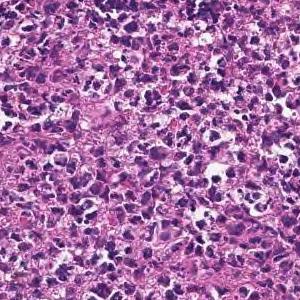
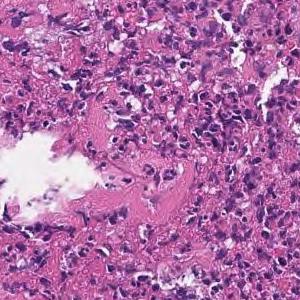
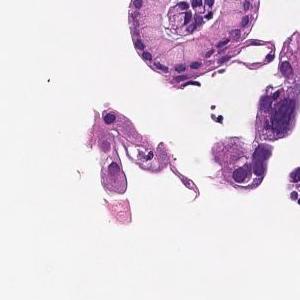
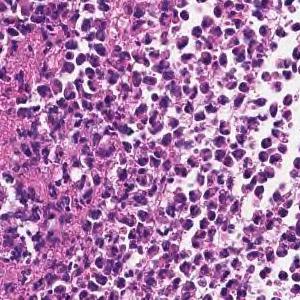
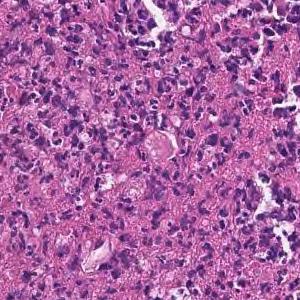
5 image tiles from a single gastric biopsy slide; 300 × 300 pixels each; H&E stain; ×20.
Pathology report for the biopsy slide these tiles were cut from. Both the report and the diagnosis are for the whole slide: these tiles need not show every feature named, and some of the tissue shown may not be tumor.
In the superficial epithelium, tumor tissue infiltrated by partial fusion of medium-sized to small, irregular glandular ducts is observed. moderately differentiated tubular adenocarcinoma
